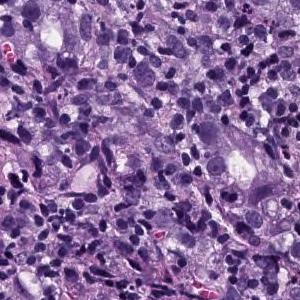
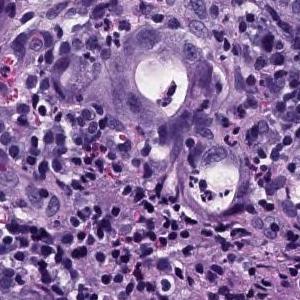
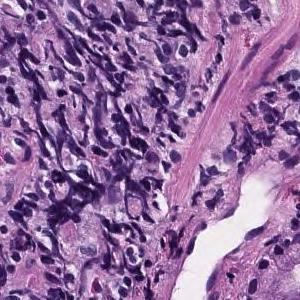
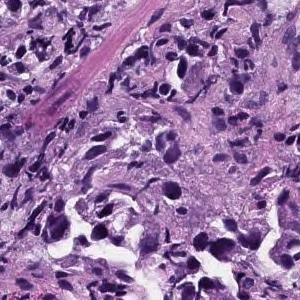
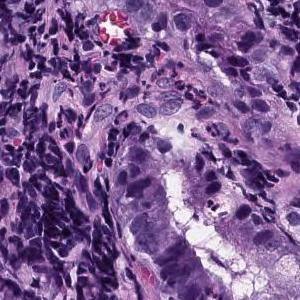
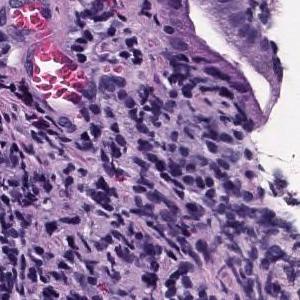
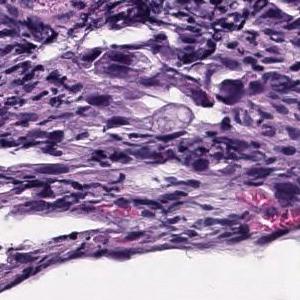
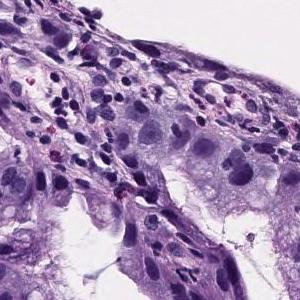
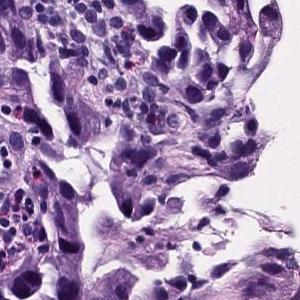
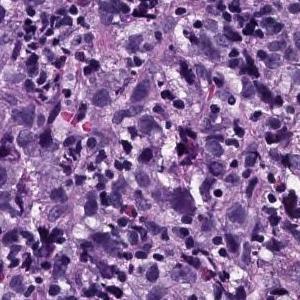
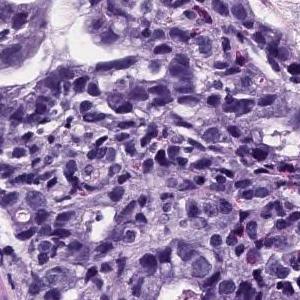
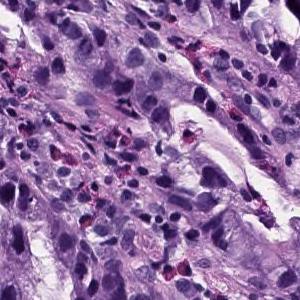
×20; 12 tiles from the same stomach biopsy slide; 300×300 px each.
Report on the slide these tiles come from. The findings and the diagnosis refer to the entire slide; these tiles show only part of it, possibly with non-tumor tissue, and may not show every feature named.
Atypical epithelial cells infiltrating and proliferating while forming solid or cord-like fused glandular cavities of different sizes is observed. moderately differentiated tubular adenocarcinoma, poorly differentiated adenocarcinoma.
Histological subtype: Moderately to poorly differentiated adenocarcinoma.
